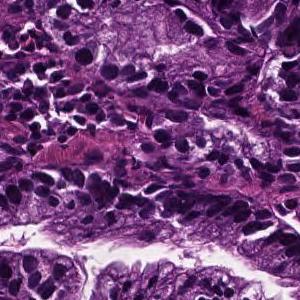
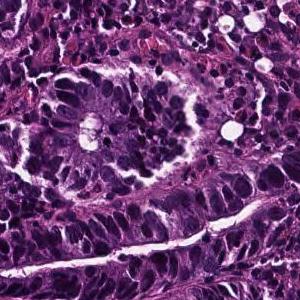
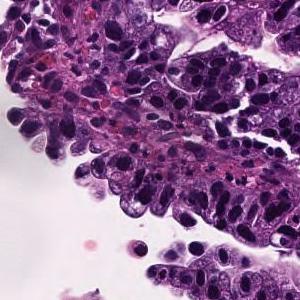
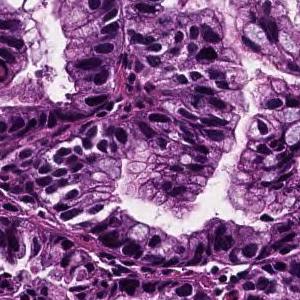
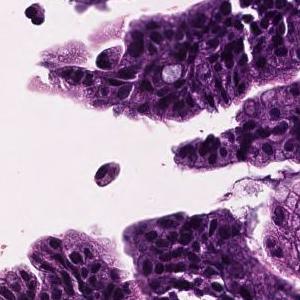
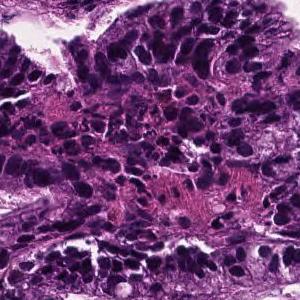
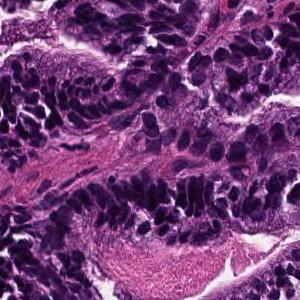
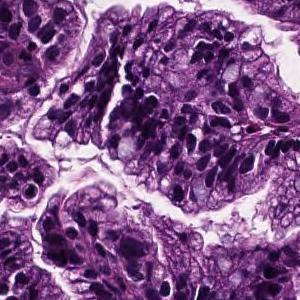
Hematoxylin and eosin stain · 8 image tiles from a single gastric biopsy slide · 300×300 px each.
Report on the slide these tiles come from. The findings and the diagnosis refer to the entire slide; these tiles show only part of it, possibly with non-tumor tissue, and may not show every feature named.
In the superficial epithelium, tumor tissue that invades by forming medium-sized to small, irregular ducts is observed. Well differentiated tubular adenocarcinoma.
